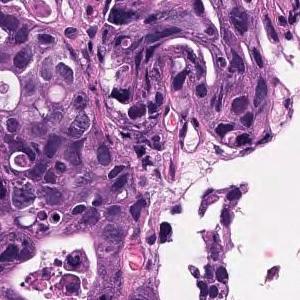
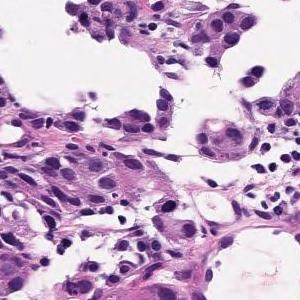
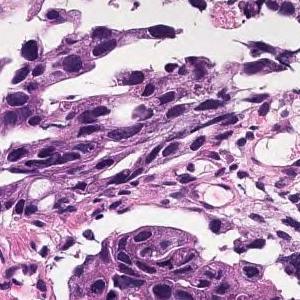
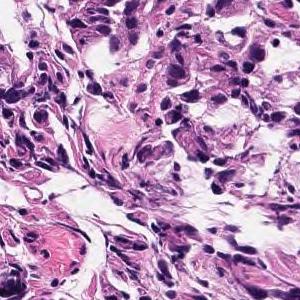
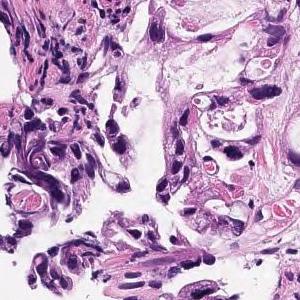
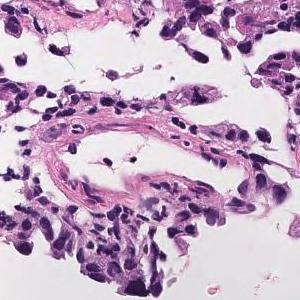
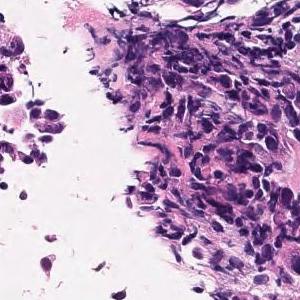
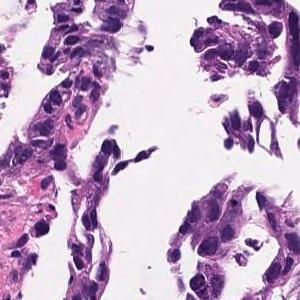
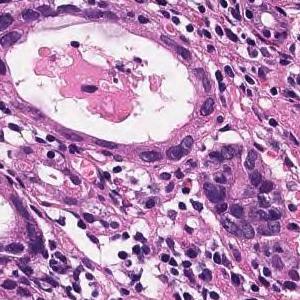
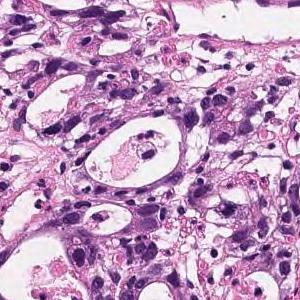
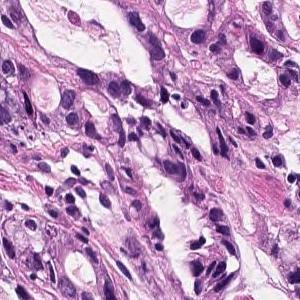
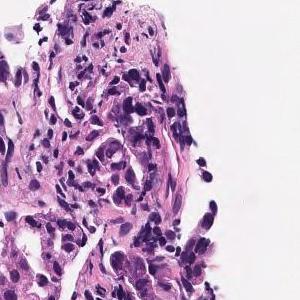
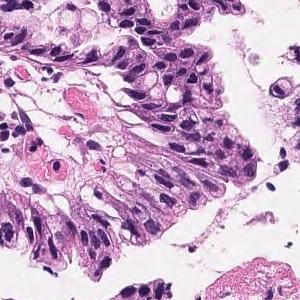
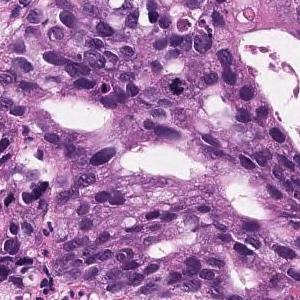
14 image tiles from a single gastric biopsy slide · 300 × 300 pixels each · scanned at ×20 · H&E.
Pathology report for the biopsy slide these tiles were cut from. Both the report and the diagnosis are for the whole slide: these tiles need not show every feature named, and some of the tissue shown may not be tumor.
In the superficial epithelium, tumor tissue that invades by forming medium-sized to small, irregular ducts is observed. Moderately differentiated adenocarcinoma.
Tumor subtype: moderately differentiated tubular adenocarcinoma.
